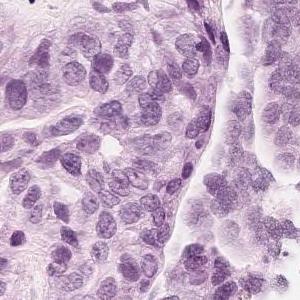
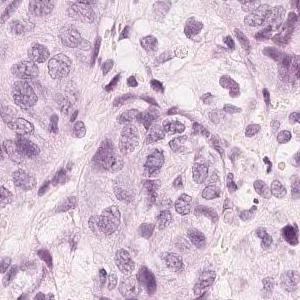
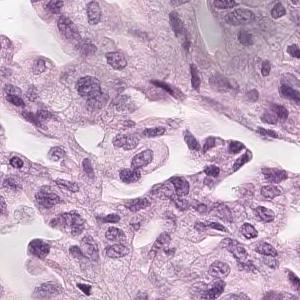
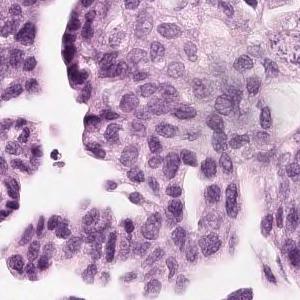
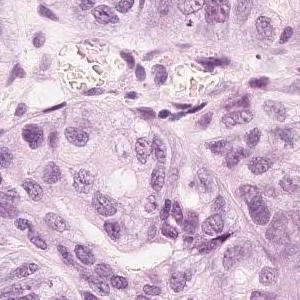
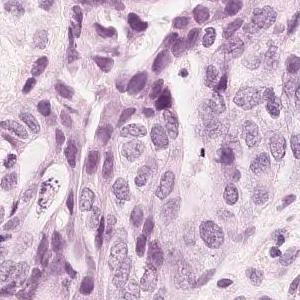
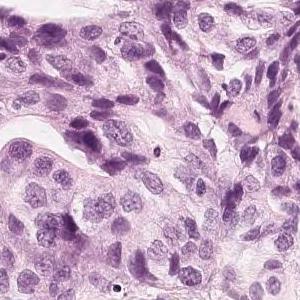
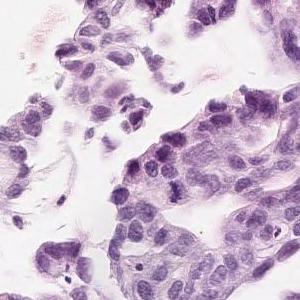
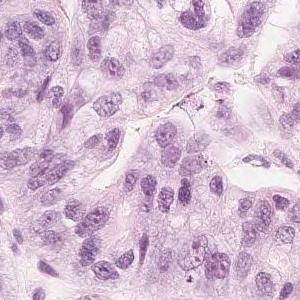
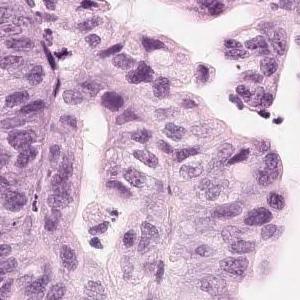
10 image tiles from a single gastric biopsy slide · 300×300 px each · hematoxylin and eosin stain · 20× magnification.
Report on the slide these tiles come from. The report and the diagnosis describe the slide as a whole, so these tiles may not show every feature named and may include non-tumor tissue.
Tumor tissue in which medium-sized atypical epithelial cells with a large N/C ratio grow densely while becoming alveolar to cord-like with duct formation is observed. moderately differentiated tubular adenocarcinoma
